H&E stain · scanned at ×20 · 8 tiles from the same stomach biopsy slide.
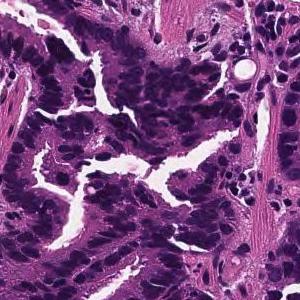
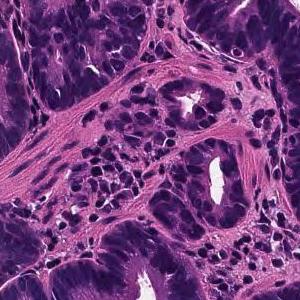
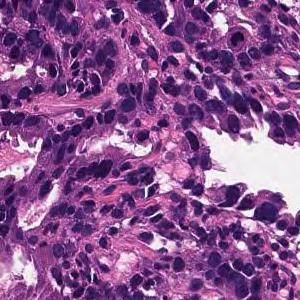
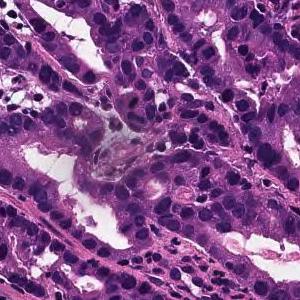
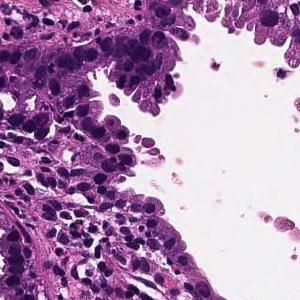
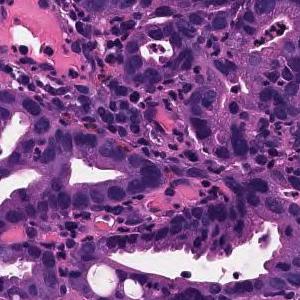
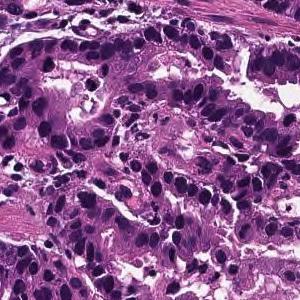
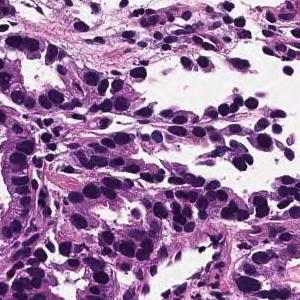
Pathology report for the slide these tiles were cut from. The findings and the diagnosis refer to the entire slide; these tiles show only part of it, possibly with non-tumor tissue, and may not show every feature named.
On the superficial epithelium, tumor tissue is found in which medium-sized irregular gland ducts fuse with each other and infiltrate. moderately differentiated tubular adenocarcinoma
